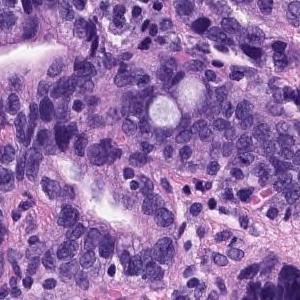
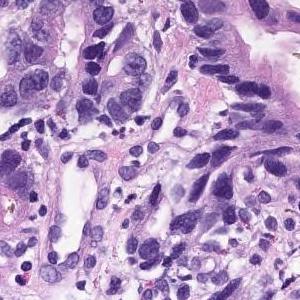
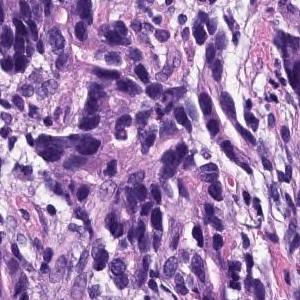
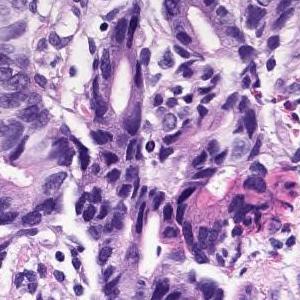
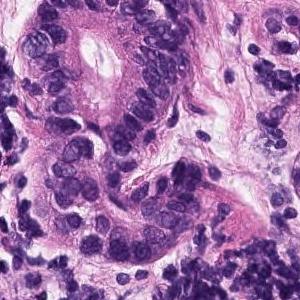
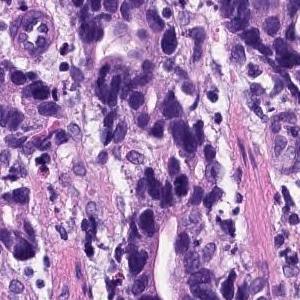
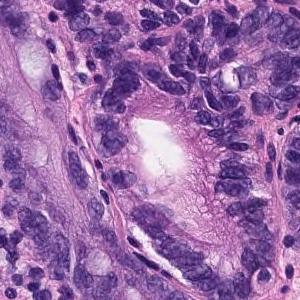
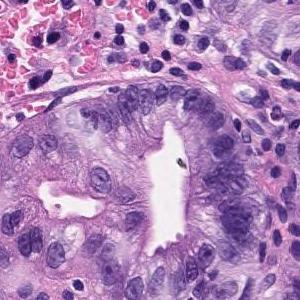
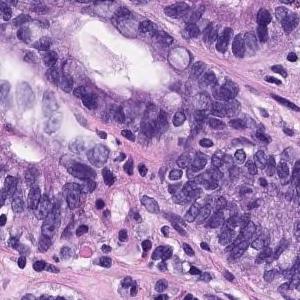
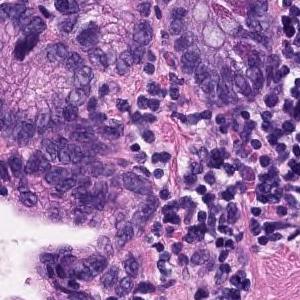
H&E · 10 patches cut from one gastric biopsy slide · each 300 × 300 pixels.
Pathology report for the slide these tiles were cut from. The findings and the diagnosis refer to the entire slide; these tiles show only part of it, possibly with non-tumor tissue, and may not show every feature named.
On the superficial epithelium, tumor tissue consisting of images showing invasive growth with small, irregular tubules partially fused is observed. moderately differentiated tubular adenocarcinoma
